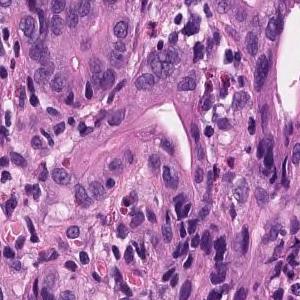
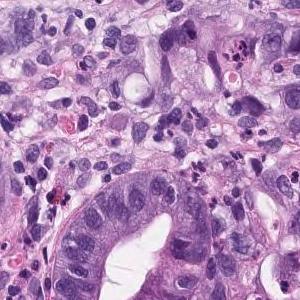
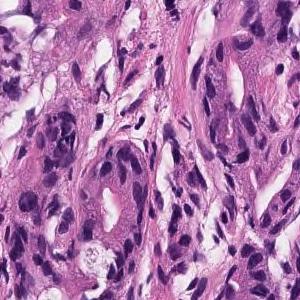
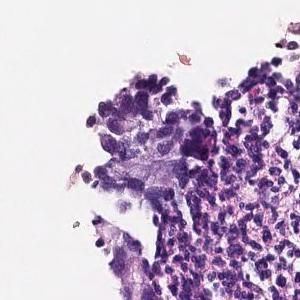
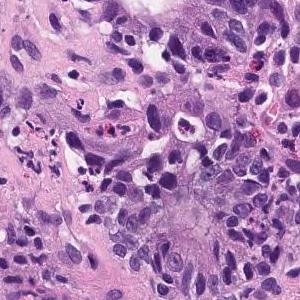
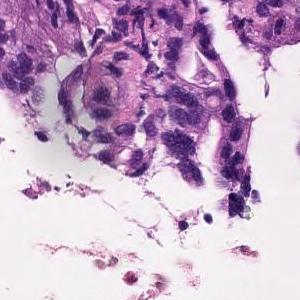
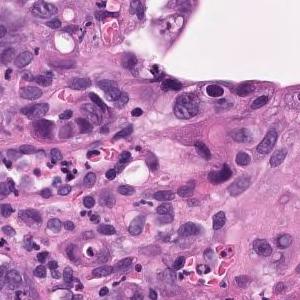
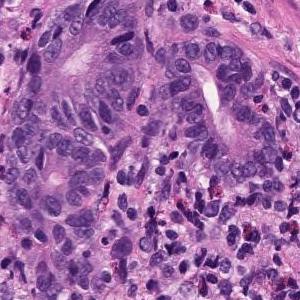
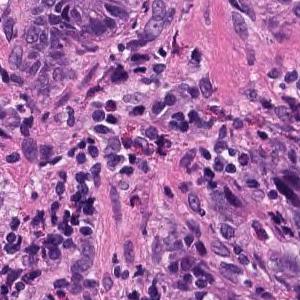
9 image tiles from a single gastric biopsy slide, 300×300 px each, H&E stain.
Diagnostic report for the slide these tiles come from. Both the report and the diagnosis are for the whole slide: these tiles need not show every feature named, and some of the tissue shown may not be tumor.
moderately differentiated tubular adenocarcinoma, Poorly differentiated adenocarcinoma
Dataset label: poorly differentiated adenocarcinoma, solid type, a category of the Japanese Classification of Gastric Carcinoma; in the WHO 2019 classification it is tubular adenocarcinoma, poorly differentiated.
